10 tiles cut from one stomach biopsy slide, each 300 × 300 pixels, H&E, 20× magnification.
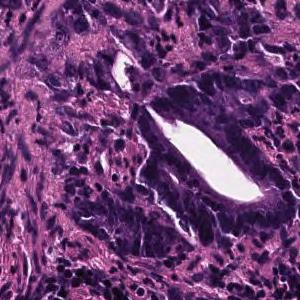
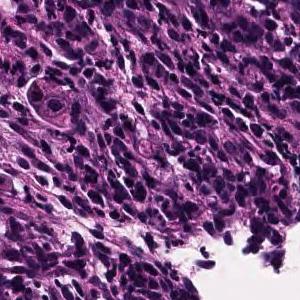
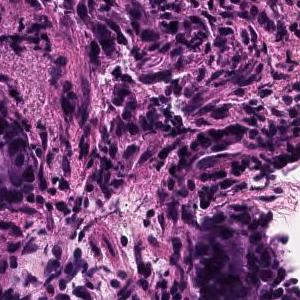
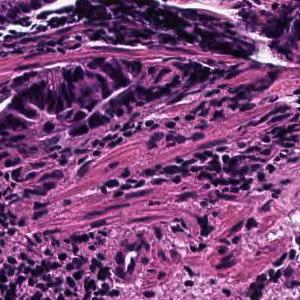
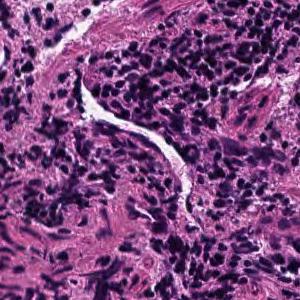
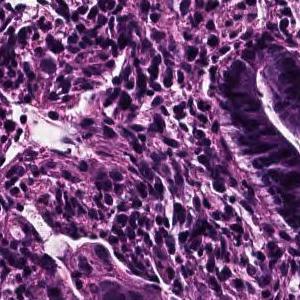
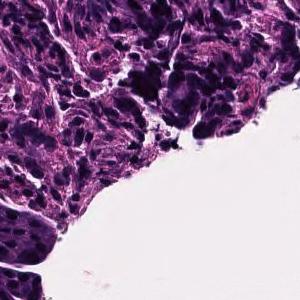
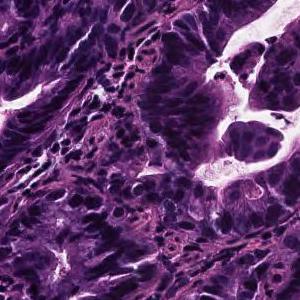
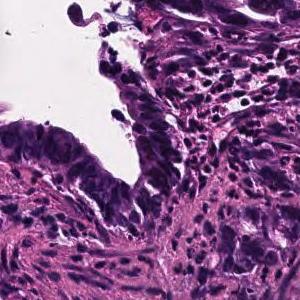
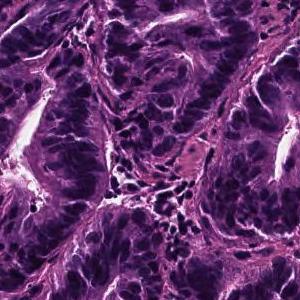
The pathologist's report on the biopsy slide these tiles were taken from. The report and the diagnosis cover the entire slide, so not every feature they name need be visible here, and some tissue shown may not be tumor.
On the superficial epithelium, tumor tissue consisting of large, irregular glandular ducts partially fused and infiltrated is observed. Well to moderately differentiated tubular adenocarcinoma (well differentiated tubular adenocarcinoma, moderately differentiated tubular adenocarcinoma)
Histologic type: Well to moderately differentiated tubular adenocarcinoma.
